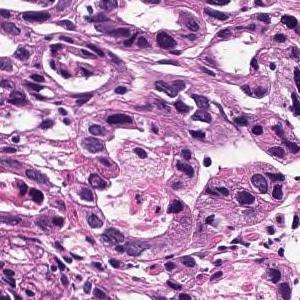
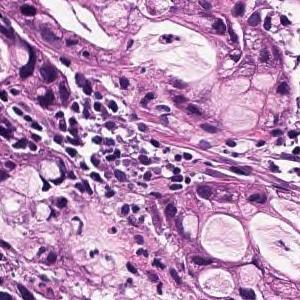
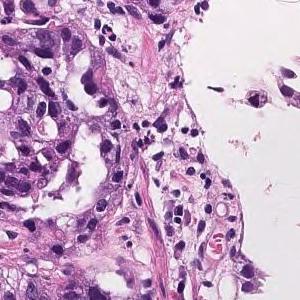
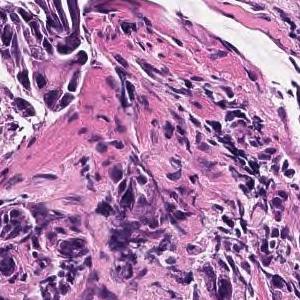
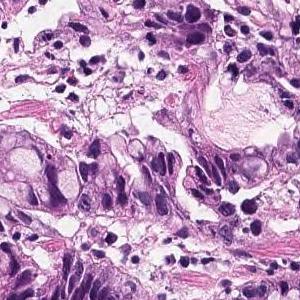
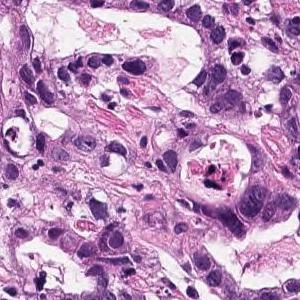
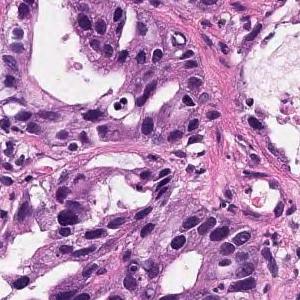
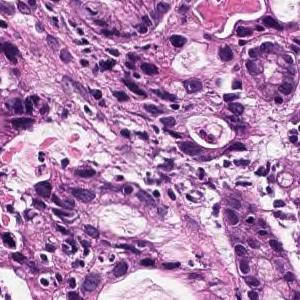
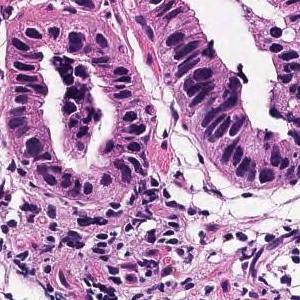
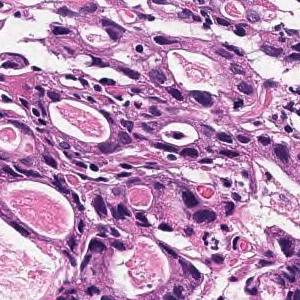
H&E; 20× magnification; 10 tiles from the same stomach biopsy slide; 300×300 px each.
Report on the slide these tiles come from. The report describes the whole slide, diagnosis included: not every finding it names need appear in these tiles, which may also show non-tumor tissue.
In the superficial epithelium, tumor tissue that invades by forming medium-sized to small, irregular ducts is observed. Moderately differentiated adenocarcinoma.
Tumor subtype: moderately differentiated tubular adenocarcinoma.
